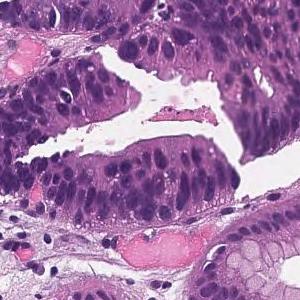
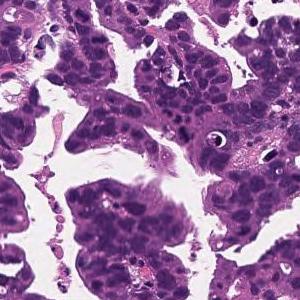
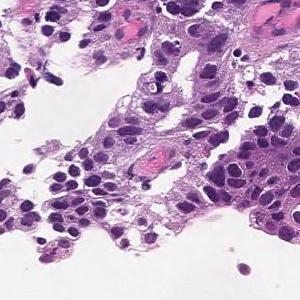
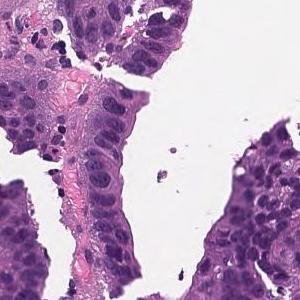
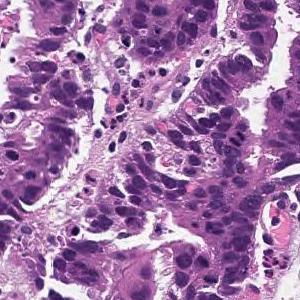
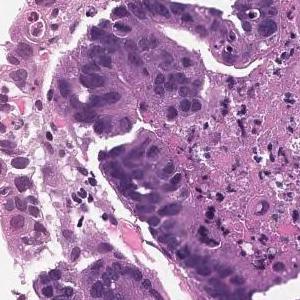
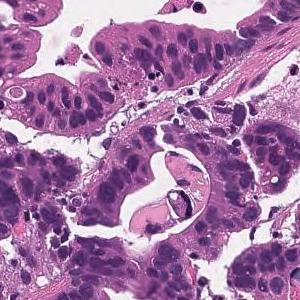
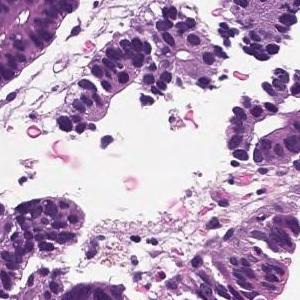
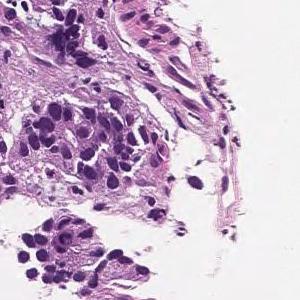
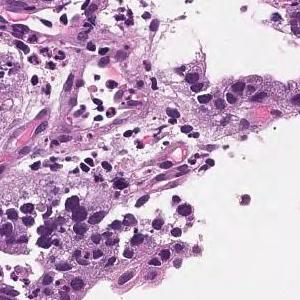
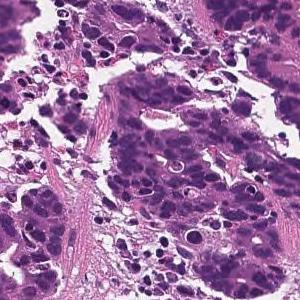
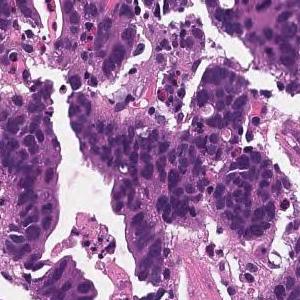
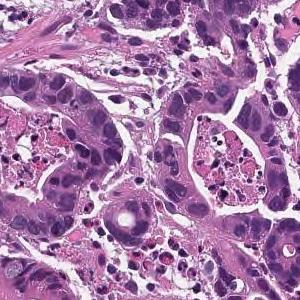
13 patches cut from one gastric biopsy slide, 300×300 px each, H&E stain, 20× magnification.
Pathology report for the biopsy slide these tiles were cut from. The findings and the diagnosis refer to the entire slide; these tiles show only part of it, possibly with non-tumor tissue, and may not show every feature named.
In the superficial epithelium, tumor tissue that invades by forming medium-sized to small, irregular ducts is observed. moderately differentiated tubular adenocarcinoma.
